10 patches cut from one gastric biopsy slide; each 300 × 300 pixels; hematoxylin and eosin stain.
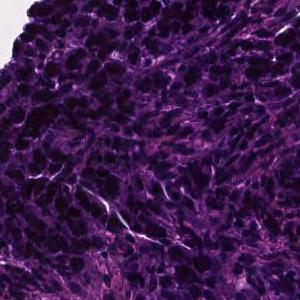
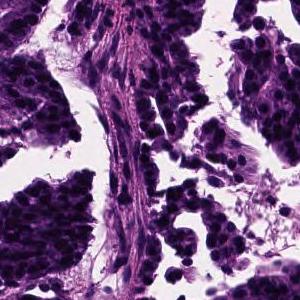
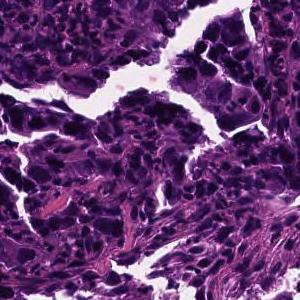
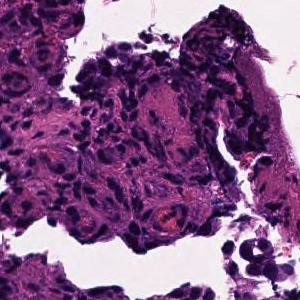
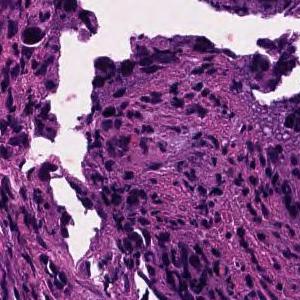
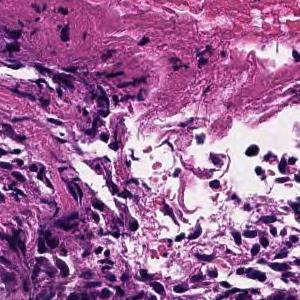
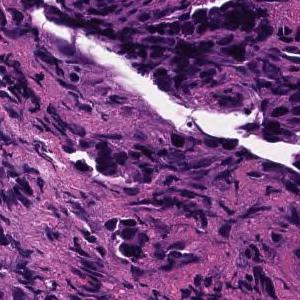
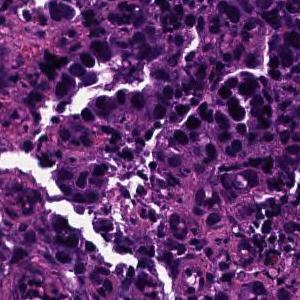
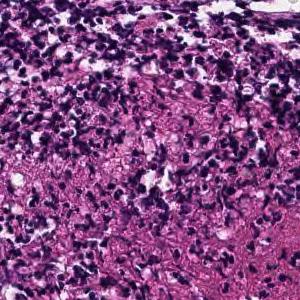
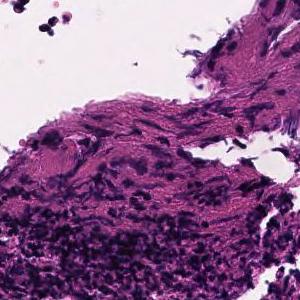
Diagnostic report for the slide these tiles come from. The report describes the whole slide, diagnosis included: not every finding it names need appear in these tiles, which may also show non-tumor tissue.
In the superficial epithelium, tumor tissue that invades by forming medium-sized to small, irregular ducts is observed. moderately differentiated tubular adenocarcinoma.
